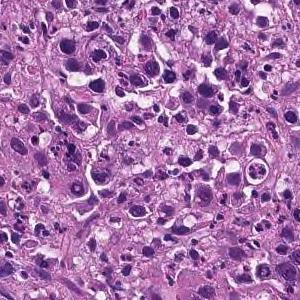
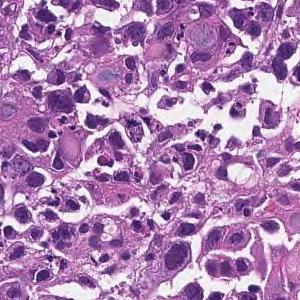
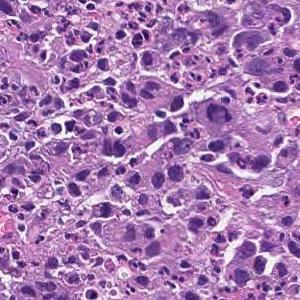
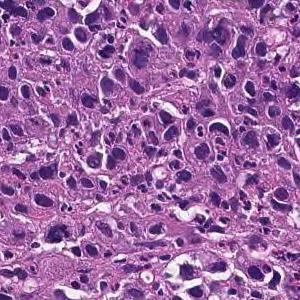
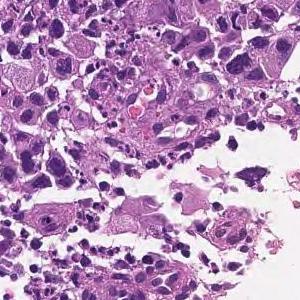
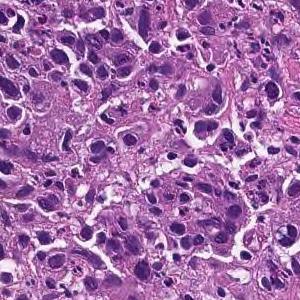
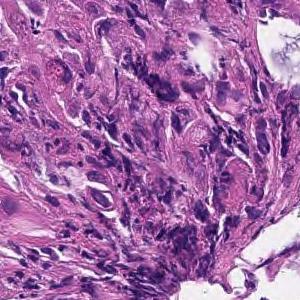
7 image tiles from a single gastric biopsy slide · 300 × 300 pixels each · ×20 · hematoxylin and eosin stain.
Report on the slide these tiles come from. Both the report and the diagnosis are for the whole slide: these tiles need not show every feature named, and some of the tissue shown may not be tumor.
The superficial epithelium shows a large sheet-like shape, and some tumor tissue infiltrates with small irregular ducts. Poorly differentiated adenocarcinoma, solid-type
Subtype: Poorly differentiated adenocarcinoma, solid type, a category of the Japanese Classification of Gastric Carcinoma; in the WHO 2019 classification it is tubular adenocarcinoma, poorly differentiated.
